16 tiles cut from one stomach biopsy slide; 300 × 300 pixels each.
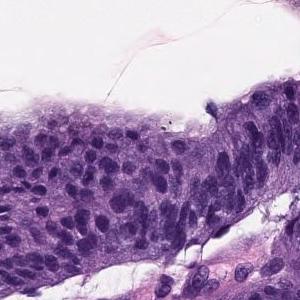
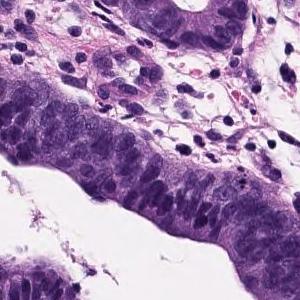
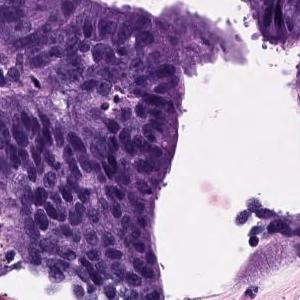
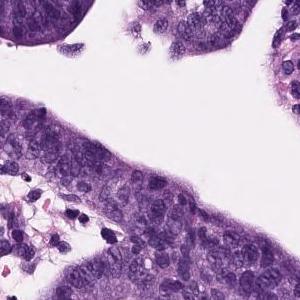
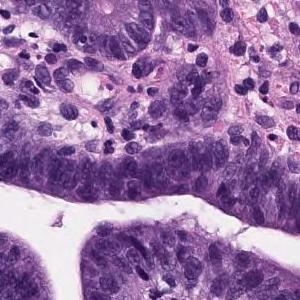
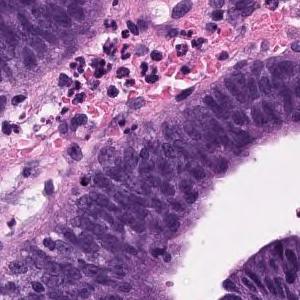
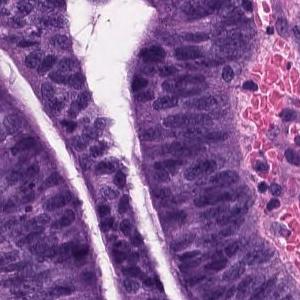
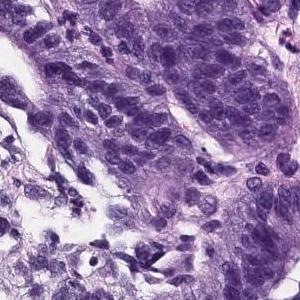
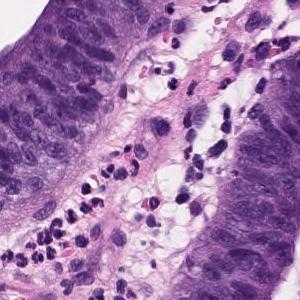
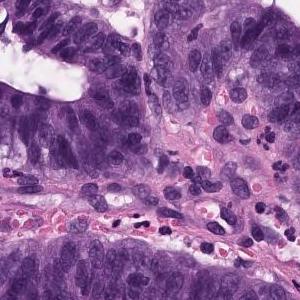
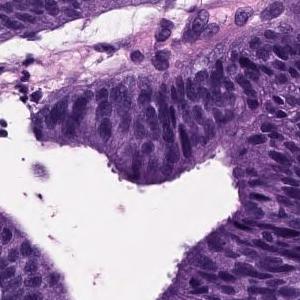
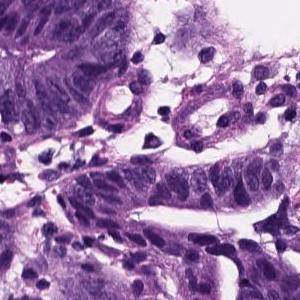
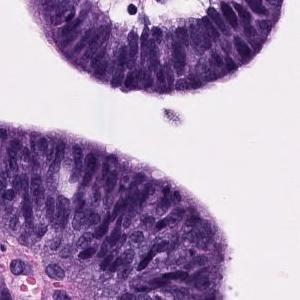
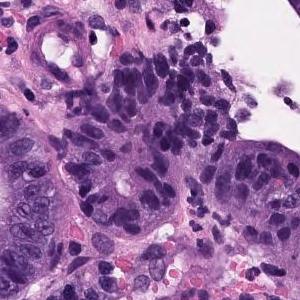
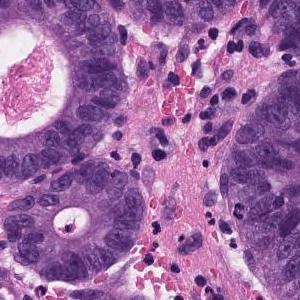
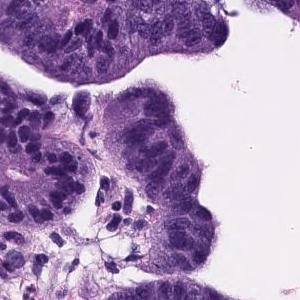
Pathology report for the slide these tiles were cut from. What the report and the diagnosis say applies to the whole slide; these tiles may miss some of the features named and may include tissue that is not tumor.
Papillo-tubular growth of atypical tubules with nuclear swelling is observed. Well differentiated tubular adenocarcinoma
